11 tiles cut from one stomach biopsy slide · H&E stain.
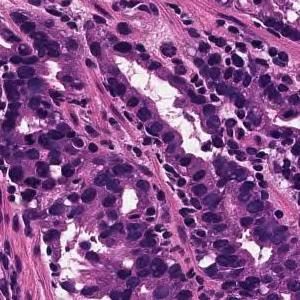
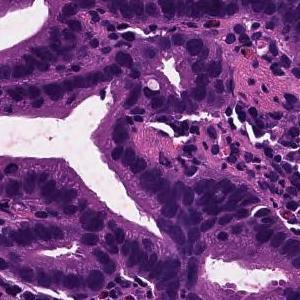
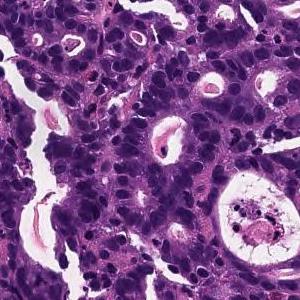
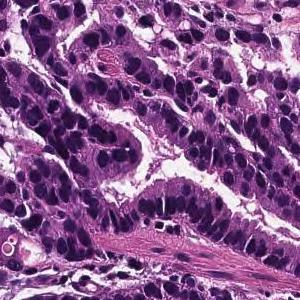
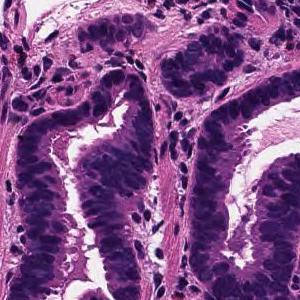
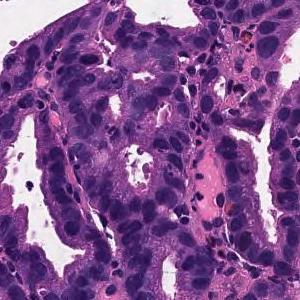
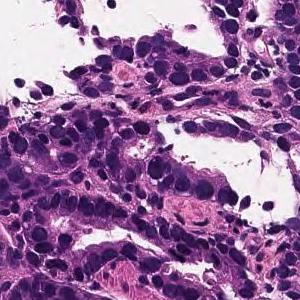
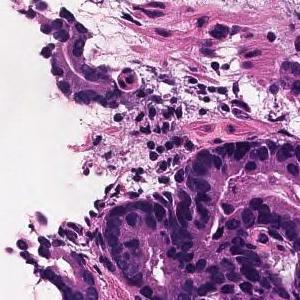
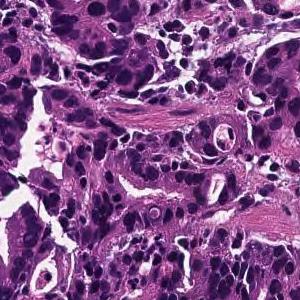
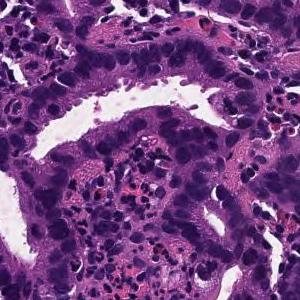
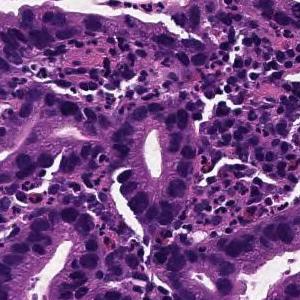
Report on the slide these tiles come from. The report and the diagnosis describe the slide as a whole, so these tiles may not show every feature named and may include non-tumor tissue.
On the superficial epithelium, tumor tissue is found in which medium-sized irregular gland ducts fuse with each other and infiltrate. moderately differentiated tubular adenocarcinoma
